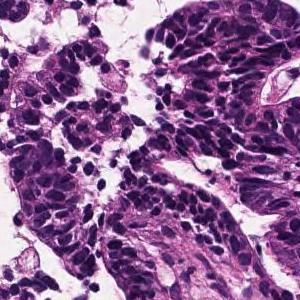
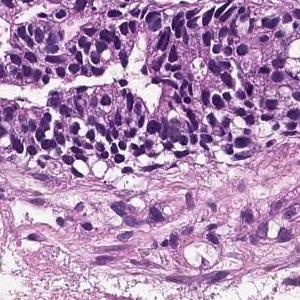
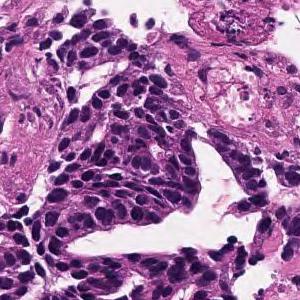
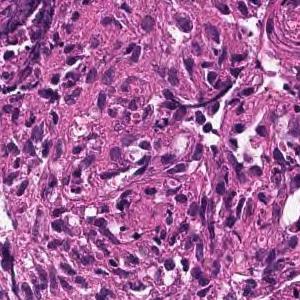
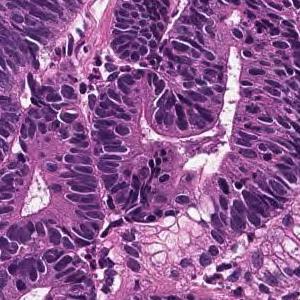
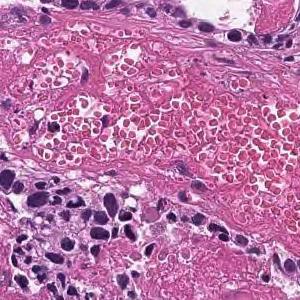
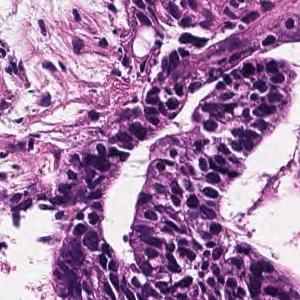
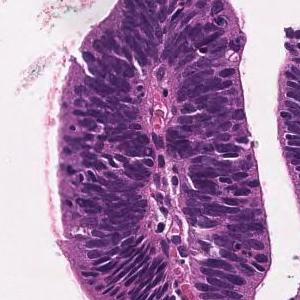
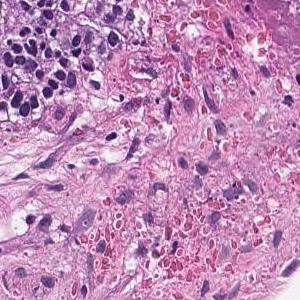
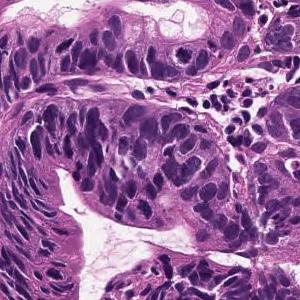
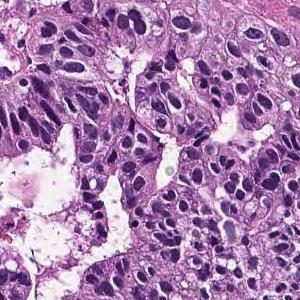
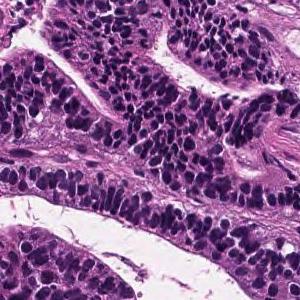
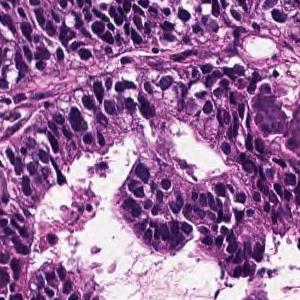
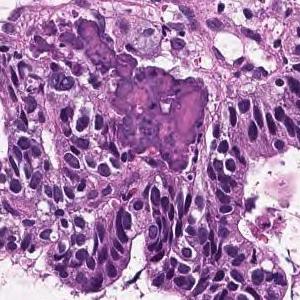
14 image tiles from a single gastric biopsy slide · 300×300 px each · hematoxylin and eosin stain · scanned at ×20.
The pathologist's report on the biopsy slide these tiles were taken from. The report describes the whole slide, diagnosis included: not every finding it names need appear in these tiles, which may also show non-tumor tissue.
In the superficial epithelium, tumor tissue that invades by forming medium-sized to small, irregular ducts is observed. Well differentiated tubular adenocarcinoma.
